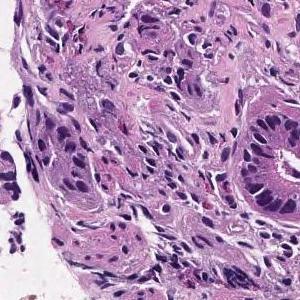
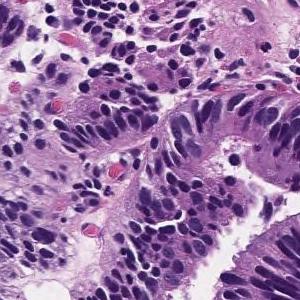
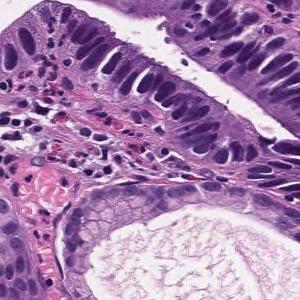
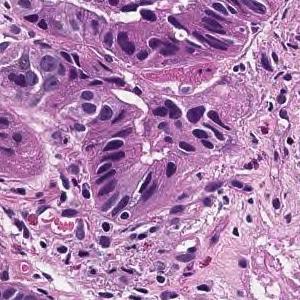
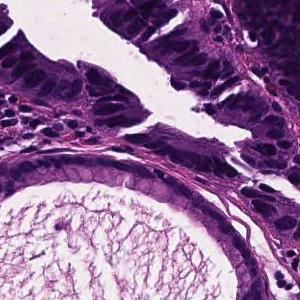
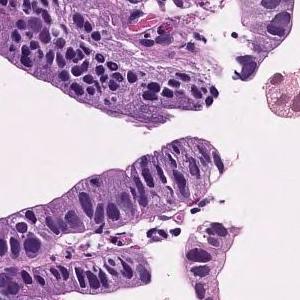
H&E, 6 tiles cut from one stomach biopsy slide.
Diagnostic report for the slide these tiles come from. What the report and the diagnosis say applies to the whole slide; these tiles may miss some of the features named and may include tissue that is not tumor.
Tumor cells are large, highly columnar, large club-shaped nuclei, and are associated with chromatin aggregation. Papillary adenocarcinoma.
